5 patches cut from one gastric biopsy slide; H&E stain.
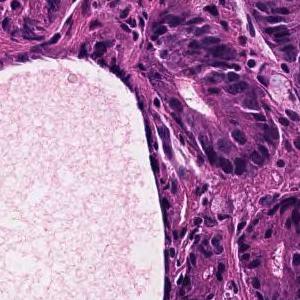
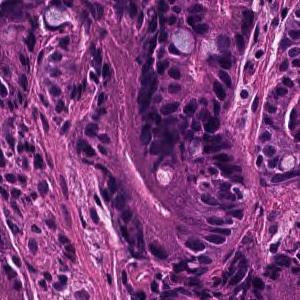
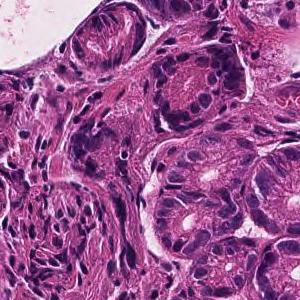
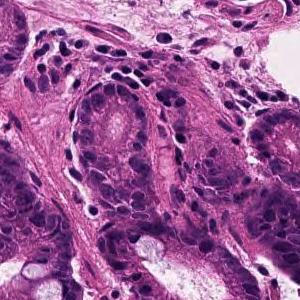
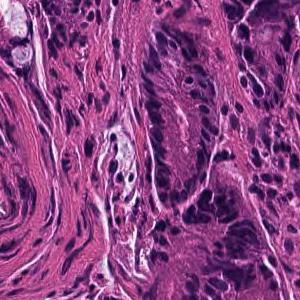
Pathology report for the biopsy slide these tiles were cut from. Both the report and the diagnosis are for the whole slide: these tiles need not show every feature named, and some of the tissue shown may not be tumor.
Medium to small, irregular glandular ducts are formed in the superficial epithelium, and in some cases, the glandular ducts are fused to show solid alveolar lesions and infiltrating tumor tissue is observed. Moderately to poorly differentiated adenocarcinoma.
